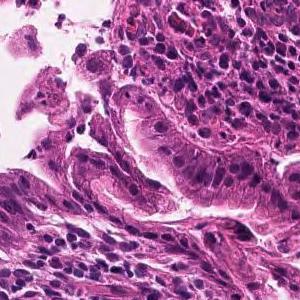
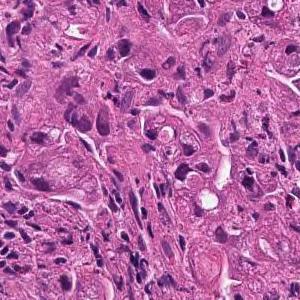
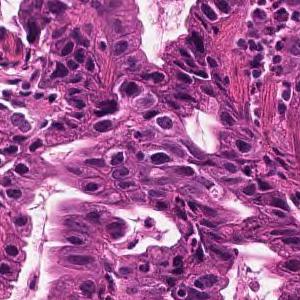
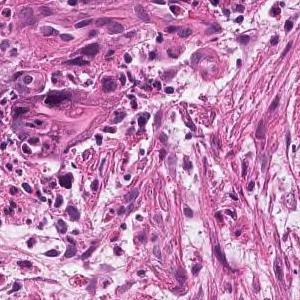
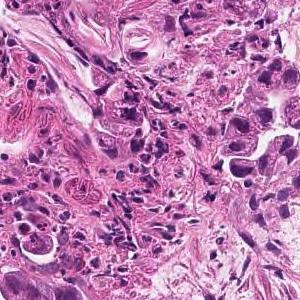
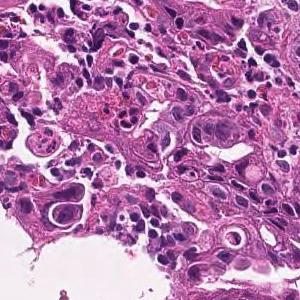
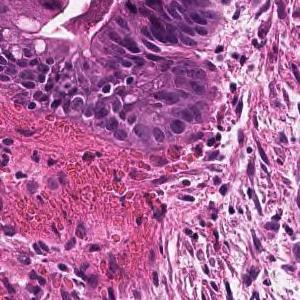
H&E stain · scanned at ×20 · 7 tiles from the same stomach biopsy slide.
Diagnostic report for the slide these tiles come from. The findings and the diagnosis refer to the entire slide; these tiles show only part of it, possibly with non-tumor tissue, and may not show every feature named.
Medium to small, irregular glandular ducts are formed in the superficial epithelium, and in some cases, the glandular ducts are fused to show solid alveolar lesions and infiltrating tumor tissue is observed. Moderately to poorly differentiated adenocarcinoma.
